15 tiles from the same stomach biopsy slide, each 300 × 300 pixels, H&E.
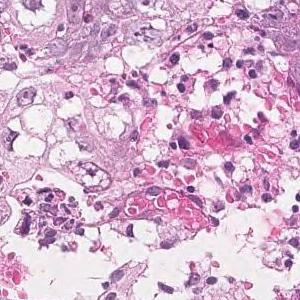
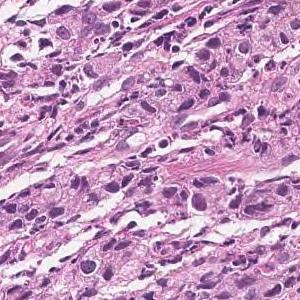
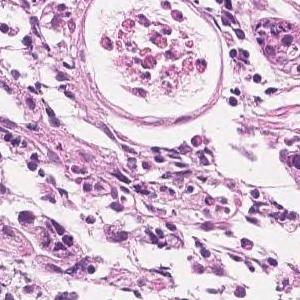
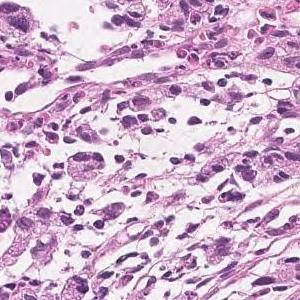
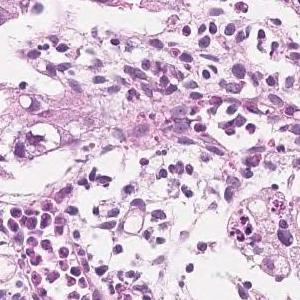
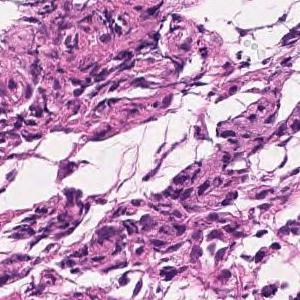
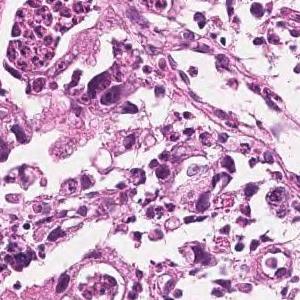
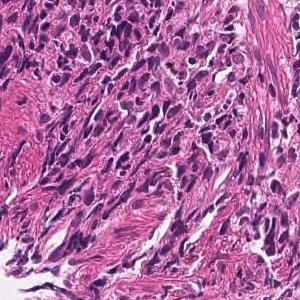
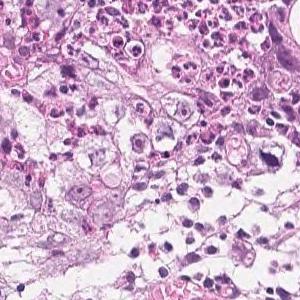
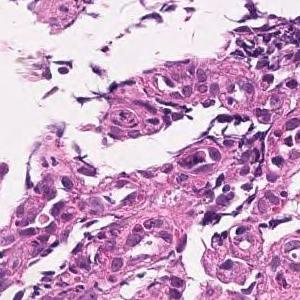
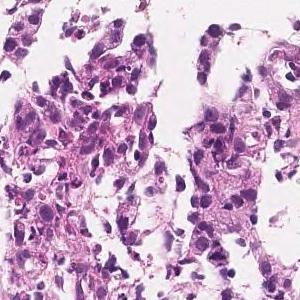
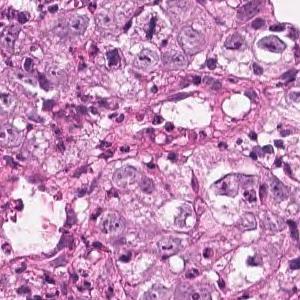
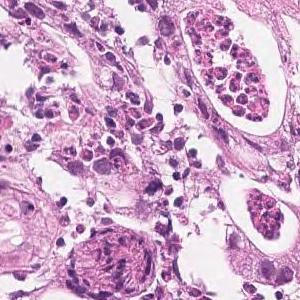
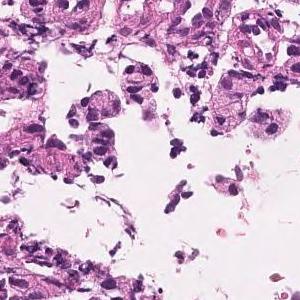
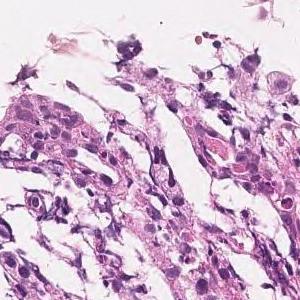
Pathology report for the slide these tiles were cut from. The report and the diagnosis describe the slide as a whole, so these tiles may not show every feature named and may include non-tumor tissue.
In the superficial epithelium, medium to small, irregular glandular ducts are formed, and in some parts, the glandular ducts are fused, and in other parts, small cord-like infiltrating tumor tissue is observed. Moderately to poorly differentiated adenocarcinoma.
